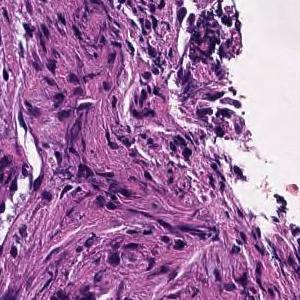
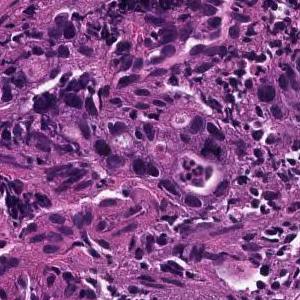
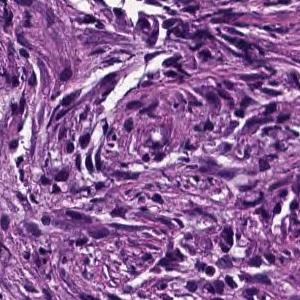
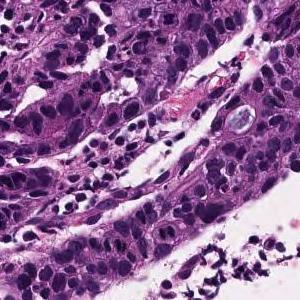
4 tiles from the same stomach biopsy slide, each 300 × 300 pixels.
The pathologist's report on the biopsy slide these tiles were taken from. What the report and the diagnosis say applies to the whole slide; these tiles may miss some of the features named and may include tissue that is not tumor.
In the superficial epithelium, medium-sized to small irregular glandular ducts are formed, and in some cases, the glandular ducts are fused or small cord-like infiltrating tumor tissue is observed. moderately differentiated tubular adenocarcinoma
